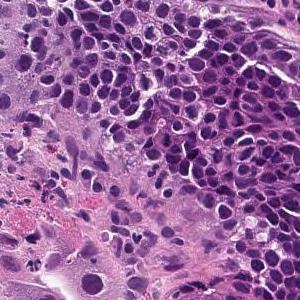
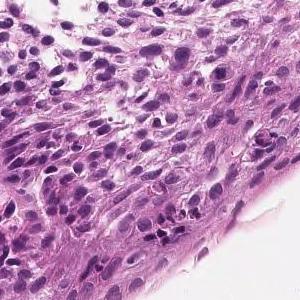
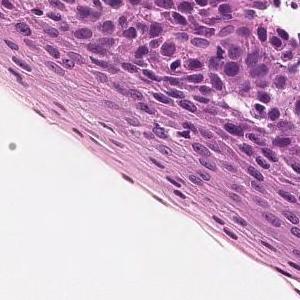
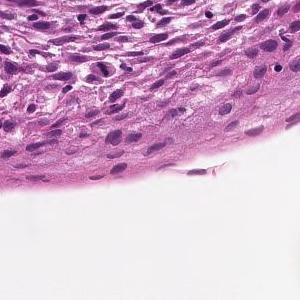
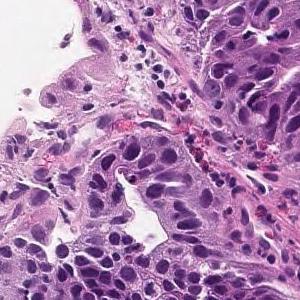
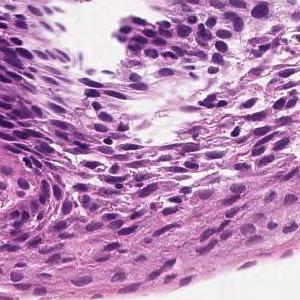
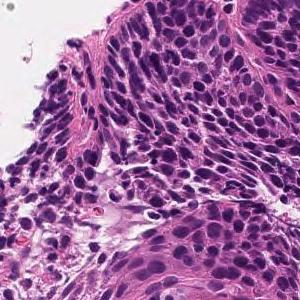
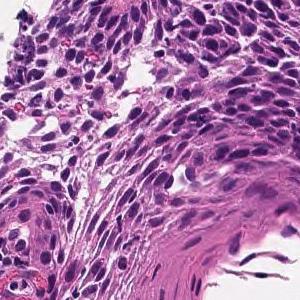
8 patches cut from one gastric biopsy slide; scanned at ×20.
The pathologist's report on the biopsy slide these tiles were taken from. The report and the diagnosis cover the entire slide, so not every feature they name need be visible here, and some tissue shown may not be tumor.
On the superficial epithelium, tumor tissue is found in which medium-sized irregular gland ducts fuse with each other and infiltrate. moderately differentiated tubular adenocarcinoma
